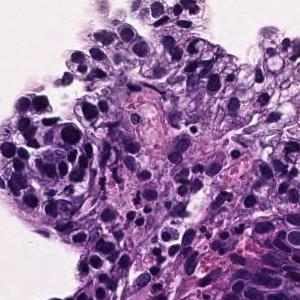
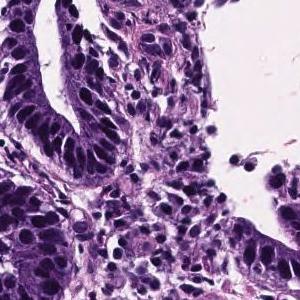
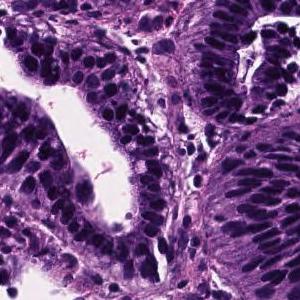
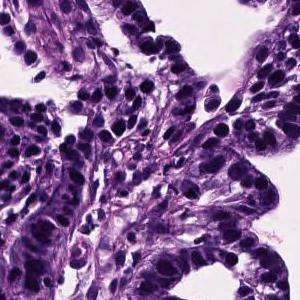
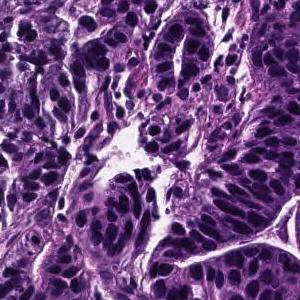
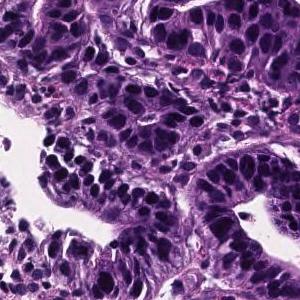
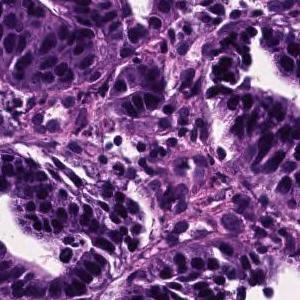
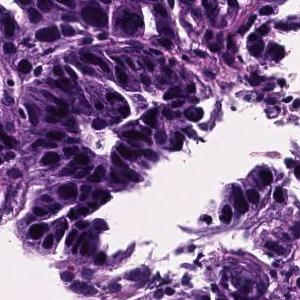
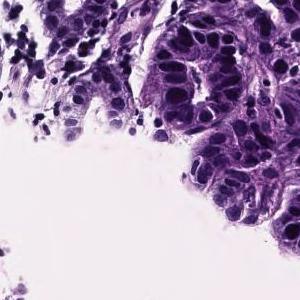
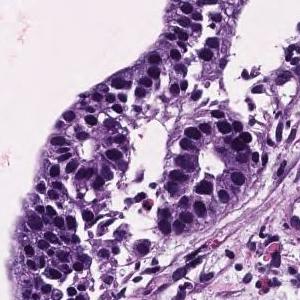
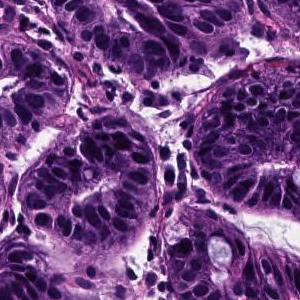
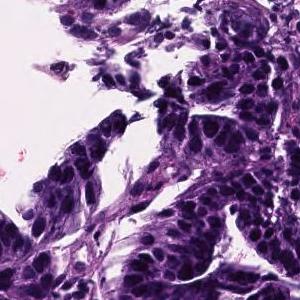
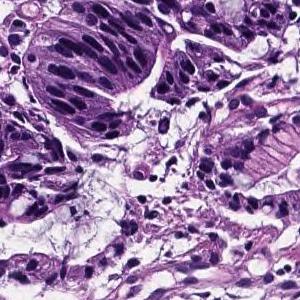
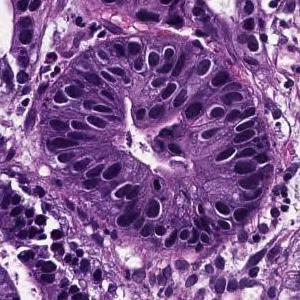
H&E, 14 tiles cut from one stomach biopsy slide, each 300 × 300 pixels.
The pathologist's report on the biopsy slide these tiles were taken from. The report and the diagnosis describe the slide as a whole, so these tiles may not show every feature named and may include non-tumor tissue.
On the superficial epithelium, tumor tissue consisting of medium-sized to large-sized, round or irregular glandular duct growth images is observed. Well differentiated tubular adenocarcinoma
